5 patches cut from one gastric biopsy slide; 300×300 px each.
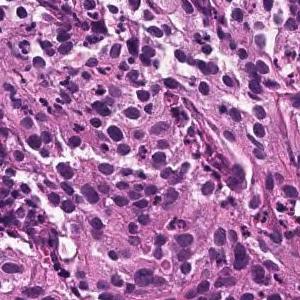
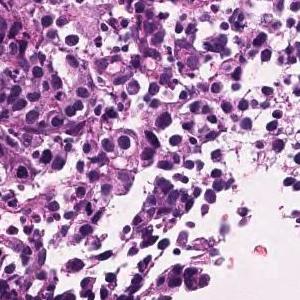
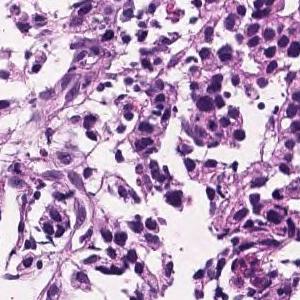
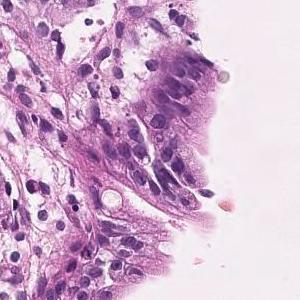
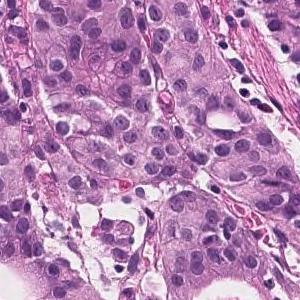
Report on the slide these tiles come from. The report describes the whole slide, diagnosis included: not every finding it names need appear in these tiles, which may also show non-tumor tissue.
Medium to small, irregular glandular ducts are formed in the superficial epithelium, and in some cases, the glandular ducts are fused to show solid alveolar lesions and infiltrating tumor tissue is observed. Moderately to poorly differentiated adenocarcinoma.
